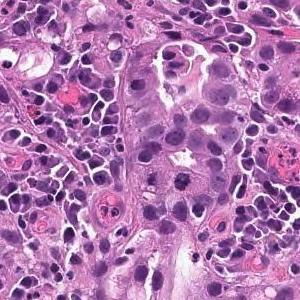
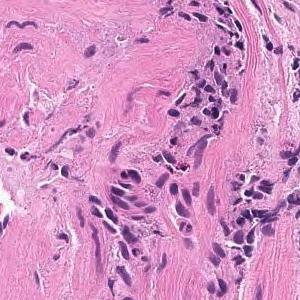
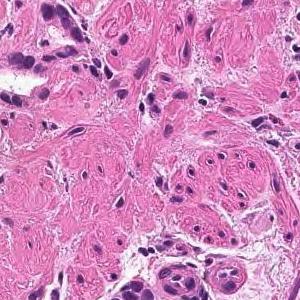
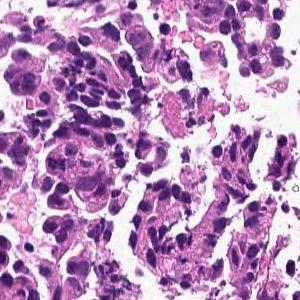
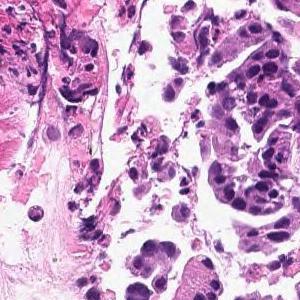
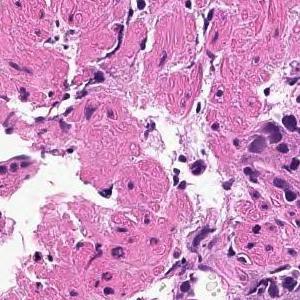
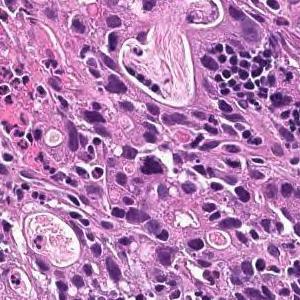
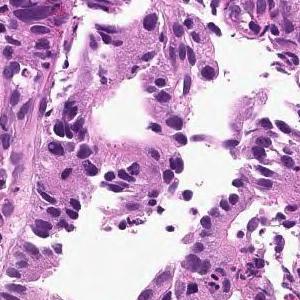
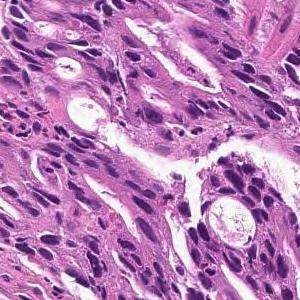
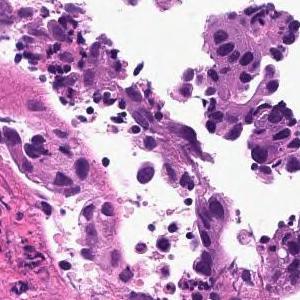
Hematoxylin and eosin stain · ×20 · 10 tiles from the same stomach biopsy slide · 300×300 px each.
Pathology report for the biopsy slide these tiles were cut from. The findings and the diagnosis refer to the entire slide; these tiles show only part of it, possibly with non-tumor tissue, and may not show every feature named.
On the superficial epithelium, tumor tissue consisting of large irregular glandular ducts partially fused and infiltrated is observed. Well to moderately differentiated tubular adenocarcinoma (well differentiated tubular adenocarcinoma, moderately differentiated tubular adenocarcinoma)
Tumor subtype: well to moderately differentiated tubular adenocarcinoma.
